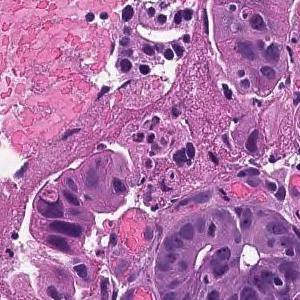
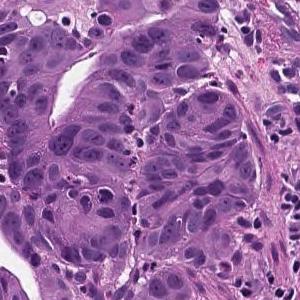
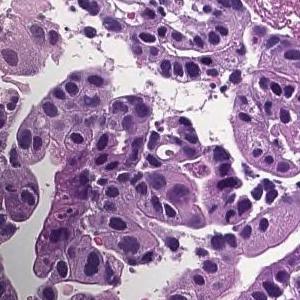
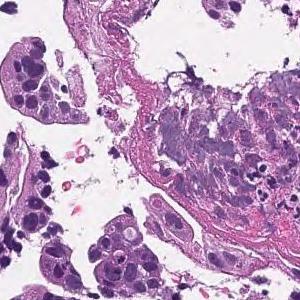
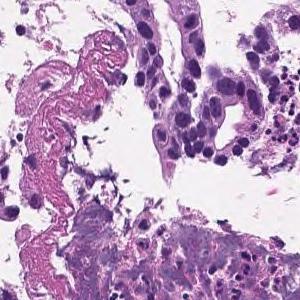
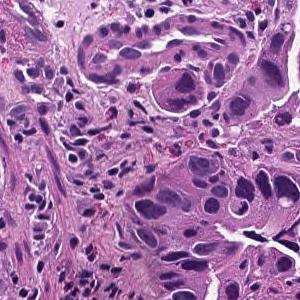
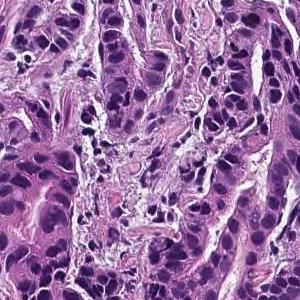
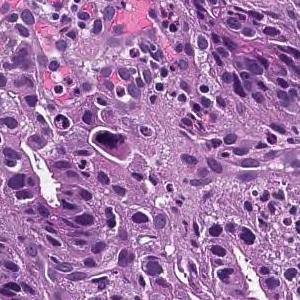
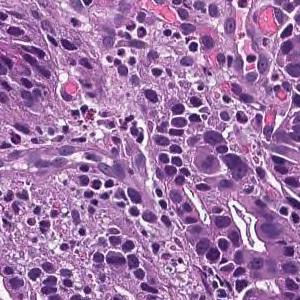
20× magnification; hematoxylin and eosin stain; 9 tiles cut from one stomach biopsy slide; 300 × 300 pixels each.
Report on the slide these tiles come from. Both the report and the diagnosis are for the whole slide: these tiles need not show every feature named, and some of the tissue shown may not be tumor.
In the superficial epithelium, tumor tissue that invades by forming medium-sized to small, irregular ducts is observed. moderately differentiated tubular adenocarcinoma.
